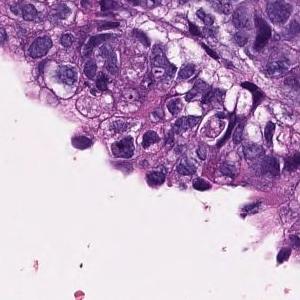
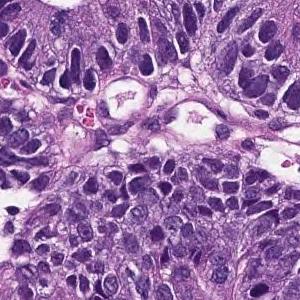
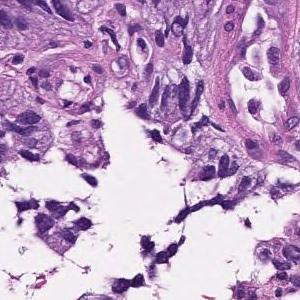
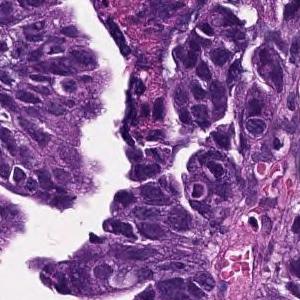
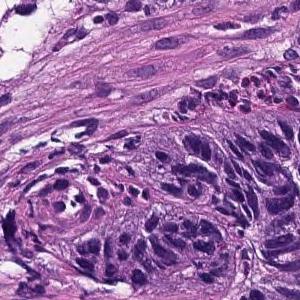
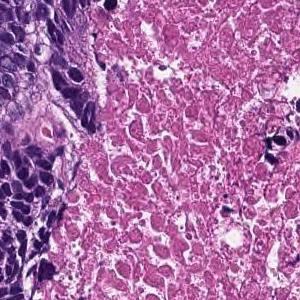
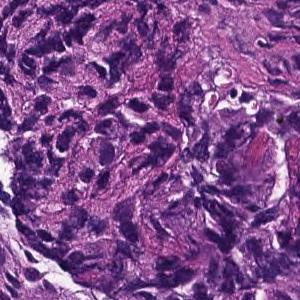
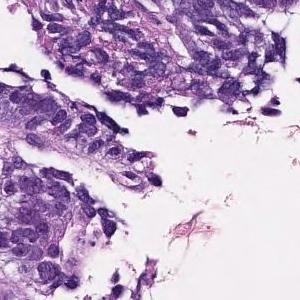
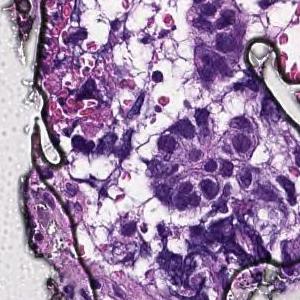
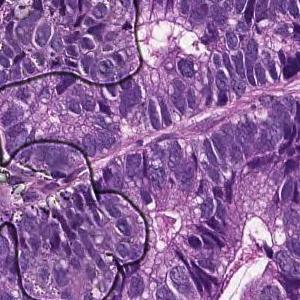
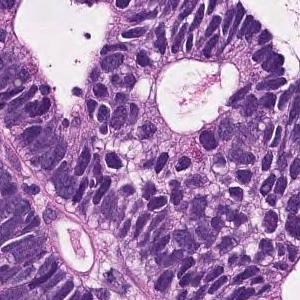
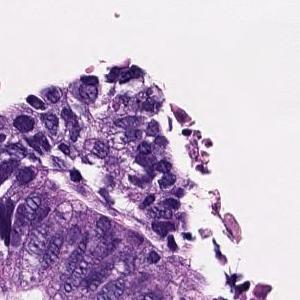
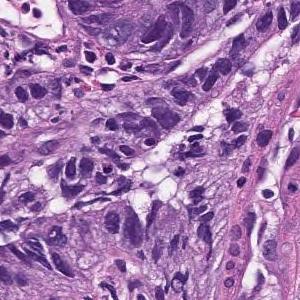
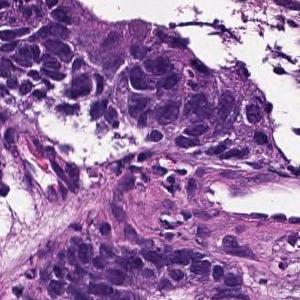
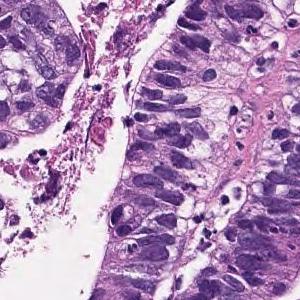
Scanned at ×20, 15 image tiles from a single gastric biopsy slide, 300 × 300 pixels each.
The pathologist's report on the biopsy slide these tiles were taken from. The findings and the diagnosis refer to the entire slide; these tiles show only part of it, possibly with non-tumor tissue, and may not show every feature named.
In the superficial epithelium, tumor tissue that invades by forming medium-sized to small, irregular ducts is observed. moderately differentiated tubular adenocarcinoma.
